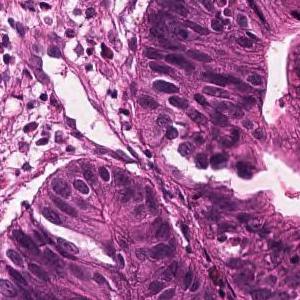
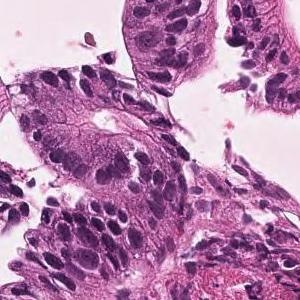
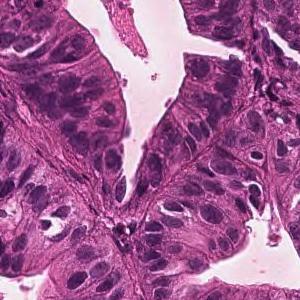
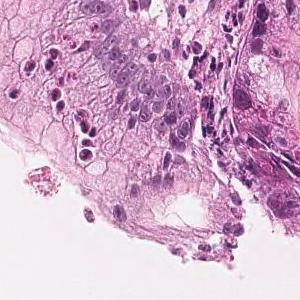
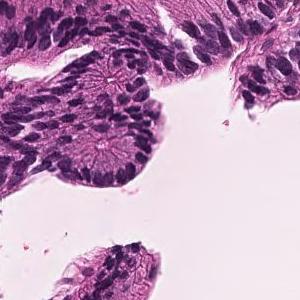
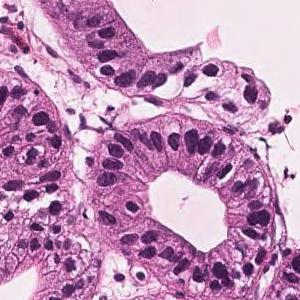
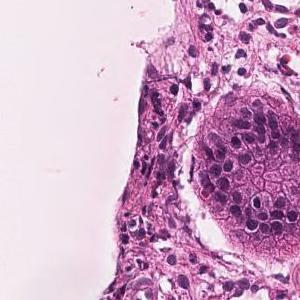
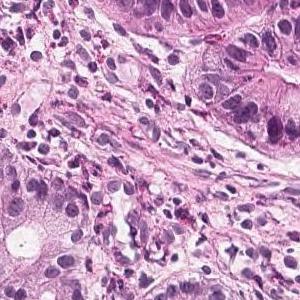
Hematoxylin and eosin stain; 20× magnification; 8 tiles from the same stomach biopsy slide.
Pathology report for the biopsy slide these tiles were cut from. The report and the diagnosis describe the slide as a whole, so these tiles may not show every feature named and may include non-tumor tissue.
Tumor tissue consisting of medium-sized and irregular ducts is observed infiltrating in the superficial epithelium. Tumor cells are highly columnar, with nuclei aligned basolaterally and polarized. Well differentiated tubular adenocarcinoma.
